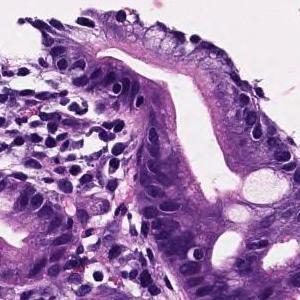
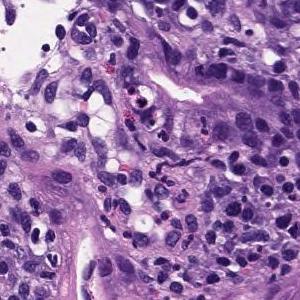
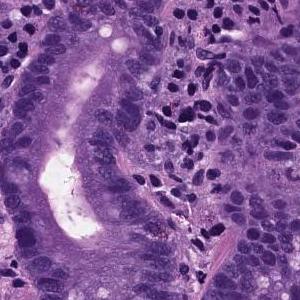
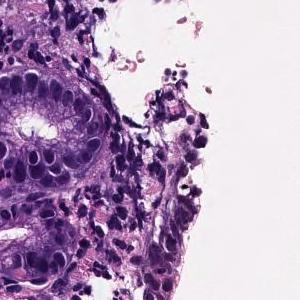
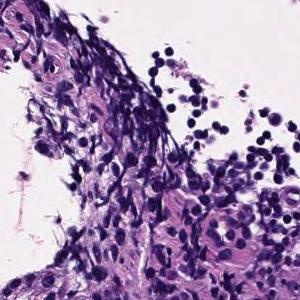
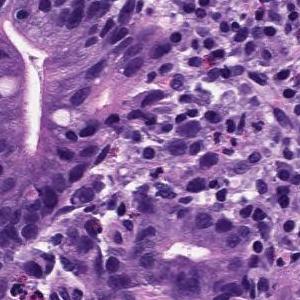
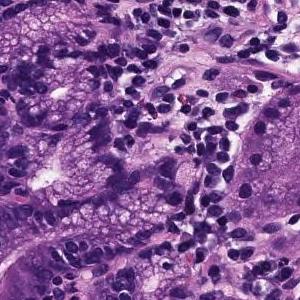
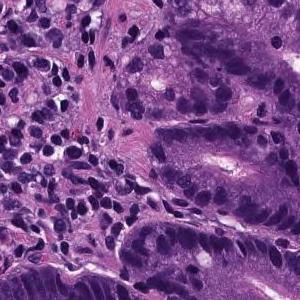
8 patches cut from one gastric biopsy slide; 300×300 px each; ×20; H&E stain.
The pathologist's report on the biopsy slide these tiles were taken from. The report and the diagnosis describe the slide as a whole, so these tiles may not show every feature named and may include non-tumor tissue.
Medium to small, irregular glandular ducts are formed in the superficial epithelium, and in some cases, the glandular ducts are fused to show solid alveolar lesions and infiltrating tumor tissue is observed. Moderately to poorly differentiated adenocarcinoma.
